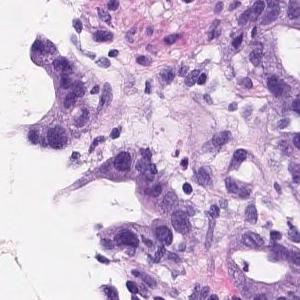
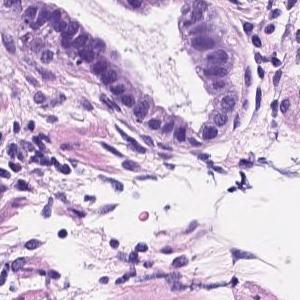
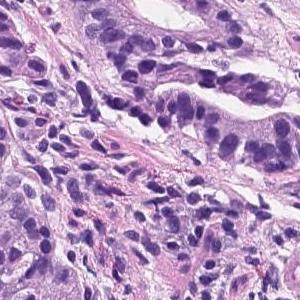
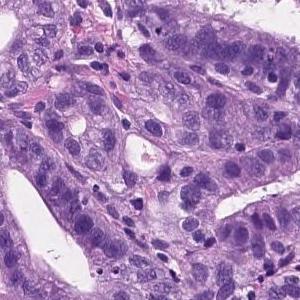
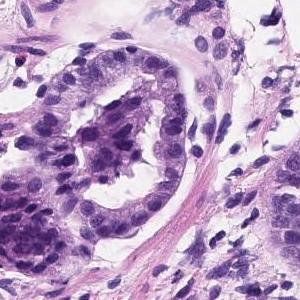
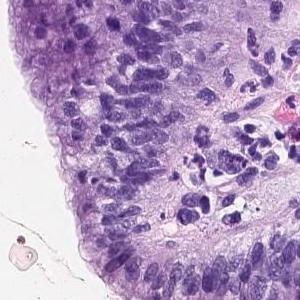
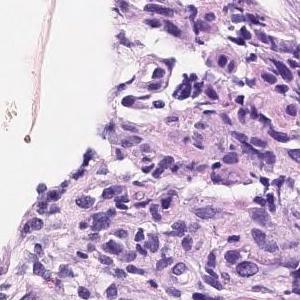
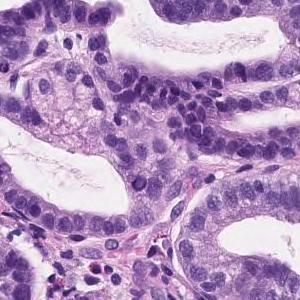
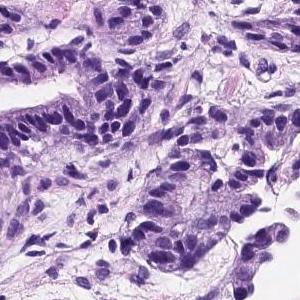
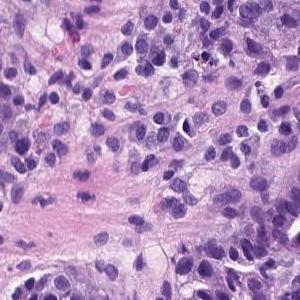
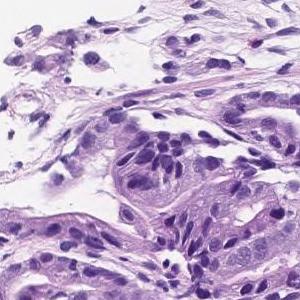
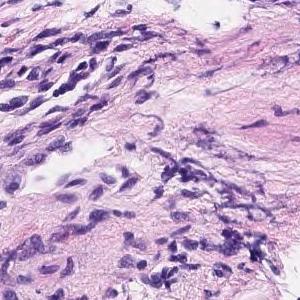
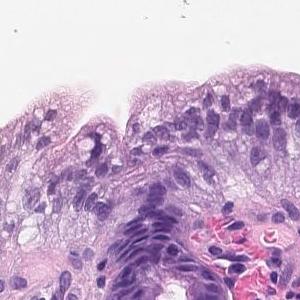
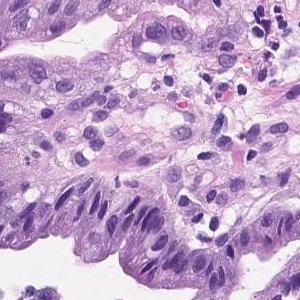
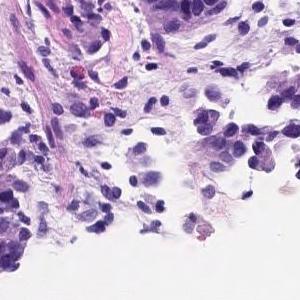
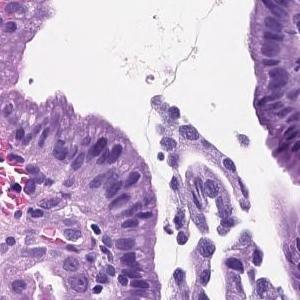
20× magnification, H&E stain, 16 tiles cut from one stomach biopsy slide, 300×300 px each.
Pathology report for the biopsy slide these tiles were cut from. The report and the diagnosis describe the slide as a whole, so these tiles may not show every feature named and may include non-tumor tissue.
Tumor tissue consisting of medium-sized and irregular ducts is observed infiltrating in the superficial epithelium. Tumor cells are highly columnar, with nuclei aligned basolaterally and polarized. Well differentiated tubular adenocarcinoma.
